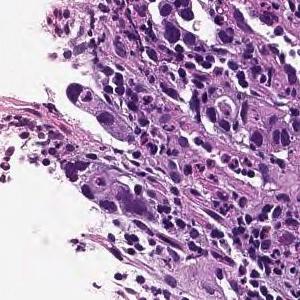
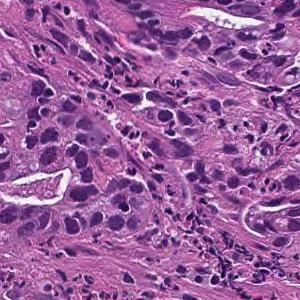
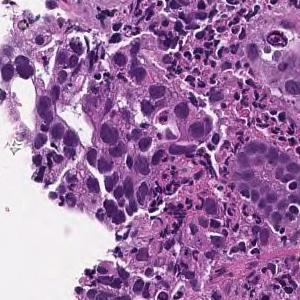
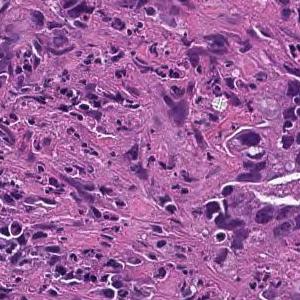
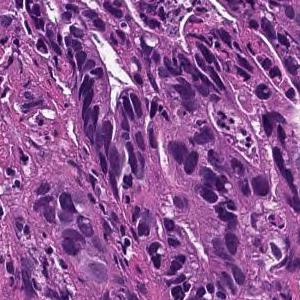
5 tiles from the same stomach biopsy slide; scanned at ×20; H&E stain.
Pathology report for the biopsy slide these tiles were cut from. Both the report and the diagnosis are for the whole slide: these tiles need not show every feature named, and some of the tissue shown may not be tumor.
Tumor tissue consisting of medium-sized, cord-like or irregular glandular infiltration is observed in the superficial epithelium. Poorly differentiated adenocarcinoma, non-solid type or moderately differentiated tubular adenocarcinoma
Histological subtype: Moderately to poorly differentiated adenocarcinoma.
"Non-solid type" is a category of the Japanese Classification of Gastric Carcinoma.
